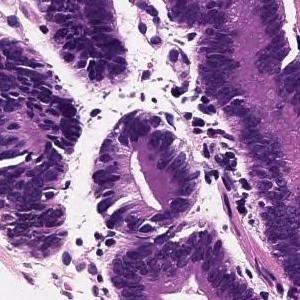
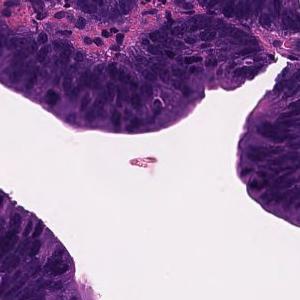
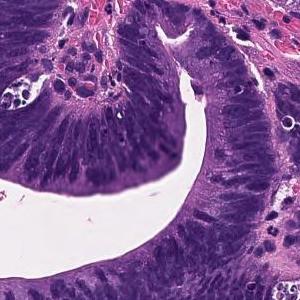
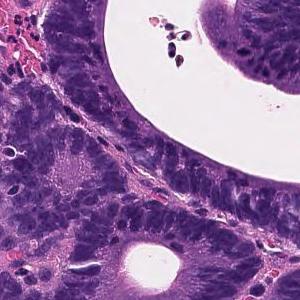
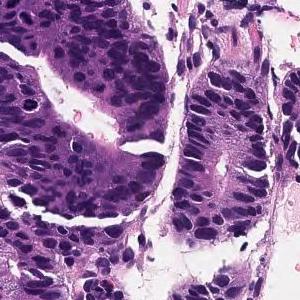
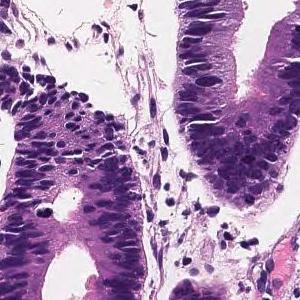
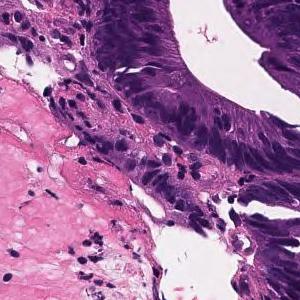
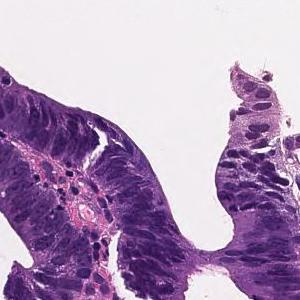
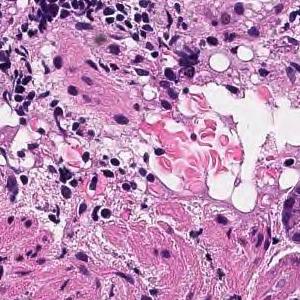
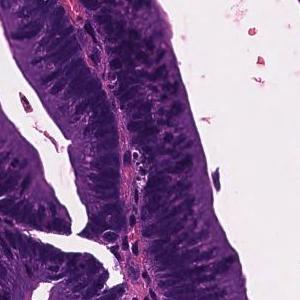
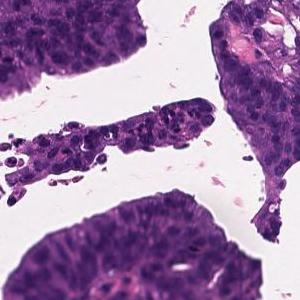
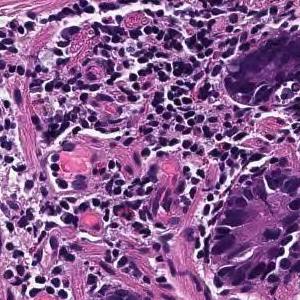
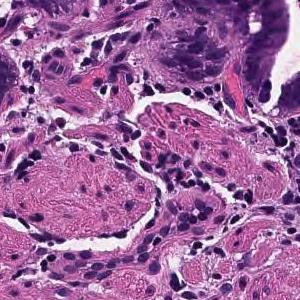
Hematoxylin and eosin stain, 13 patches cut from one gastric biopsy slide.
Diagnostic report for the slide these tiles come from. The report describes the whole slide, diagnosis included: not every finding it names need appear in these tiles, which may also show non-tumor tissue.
Tumor tissue consisting of large papillary structures is found in the superficial epithelium. Papillary adenocarcinoma.
